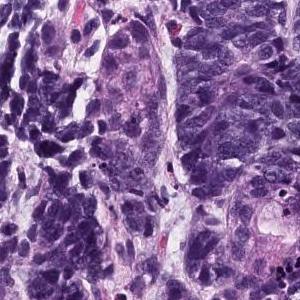
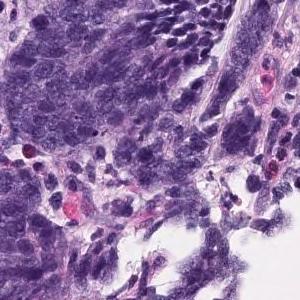
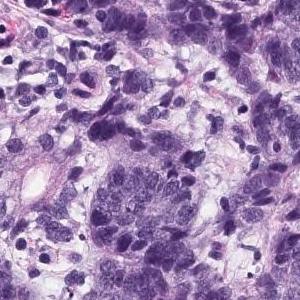
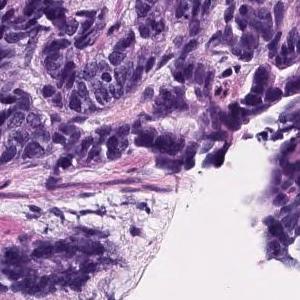
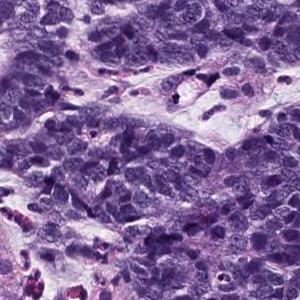
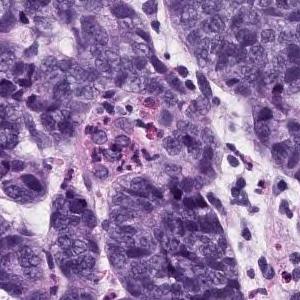
6 tiles cut from one stomach biopsy slide · each 300 × 300 pixels · ×20 · H&E stain.
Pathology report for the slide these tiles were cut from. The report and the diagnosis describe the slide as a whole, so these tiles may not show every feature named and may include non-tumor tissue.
Group 5, Adenocarcinoma. Moderately to poorly differentiated adenocarcinoma
